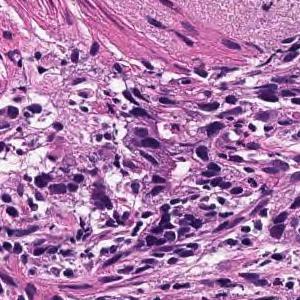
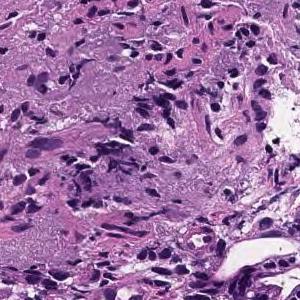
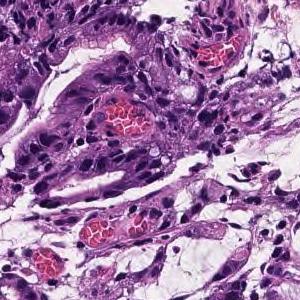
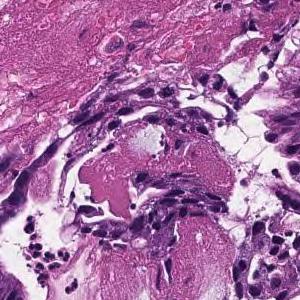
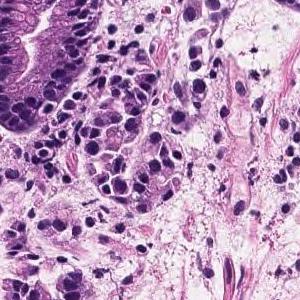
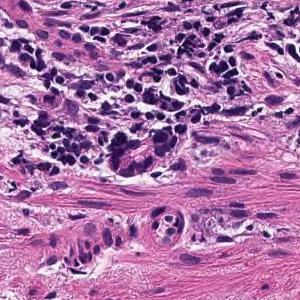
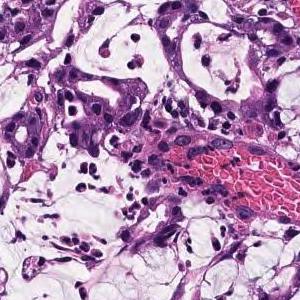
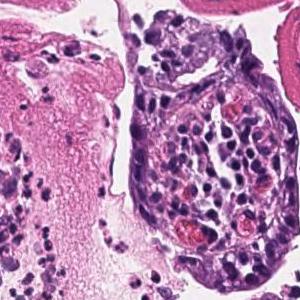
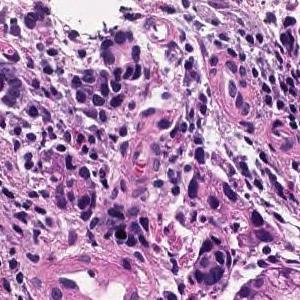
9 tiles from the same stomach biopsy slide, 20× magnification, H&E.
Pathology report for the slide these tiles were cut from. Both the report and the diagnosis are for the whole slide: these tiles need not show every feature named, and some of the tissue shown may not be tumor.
In the superficial epithelium, tumor tissue is found in which medium-sized to small, irregular glandular ducts are partially fused and infiltrated. moderately differentiated tubular adenocarcinoma
